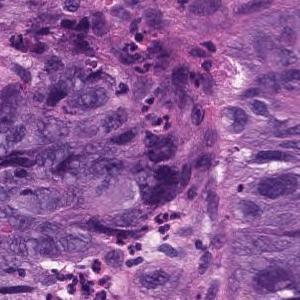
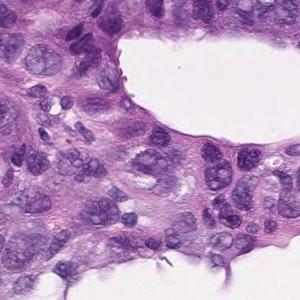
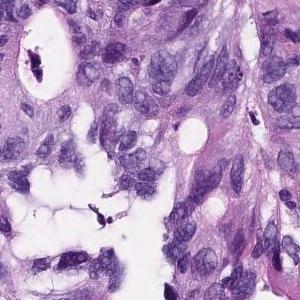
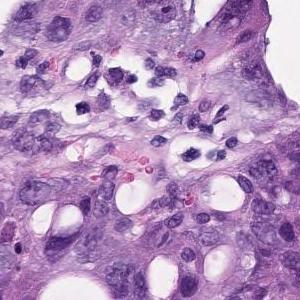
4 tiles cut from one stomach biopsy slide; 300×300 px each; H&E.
Pathology report for the slide these tiles were cut from. The report describes the whole slide, diagnosis included: not every finding it names need appear in these tiles, which may also show non-tumor tissue.
In the superficial epithelium, tumor tissue that invades by forming medium-sized to small, irregular ducts is observed. Moderately differentiated adenocarcinoma.
Tumor subtype: moderately differentiated tubular adenocarcinoma.
